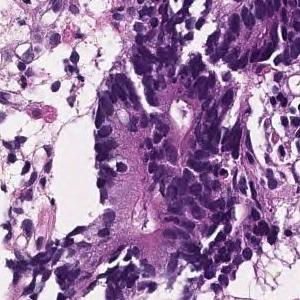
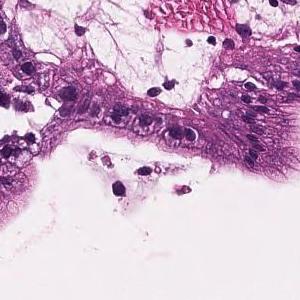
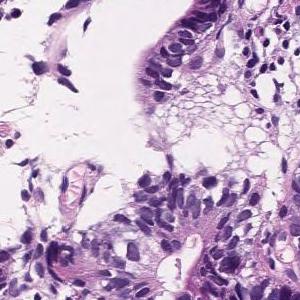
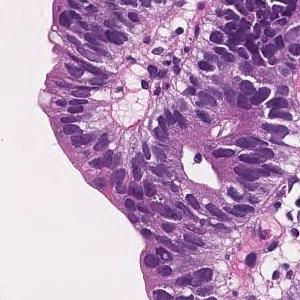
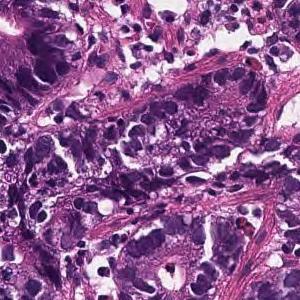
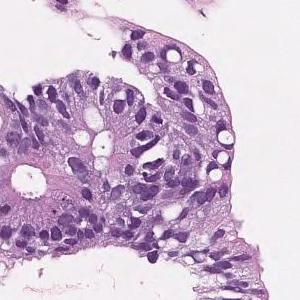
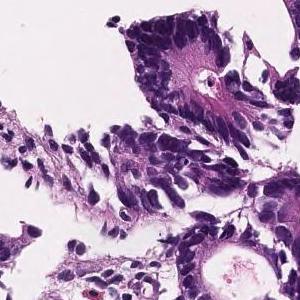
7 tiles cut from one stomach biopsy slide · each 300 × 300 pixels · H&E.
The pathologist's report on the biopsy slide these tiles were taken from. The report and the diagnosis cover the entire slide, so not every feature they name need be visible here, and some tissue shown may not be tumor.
On the superficial epithelium, tumor tissue consisting of large, irregular glandular ducts partially fused and infiltrated is observed. Well to moderately differentiated tubular adenocarcinoma (well differentiated tubular adenocarcinoma, moderately differentiated tubular adenocarcinoma)
Classified as well to moderately differentiated tubular adenocarcinoma.
